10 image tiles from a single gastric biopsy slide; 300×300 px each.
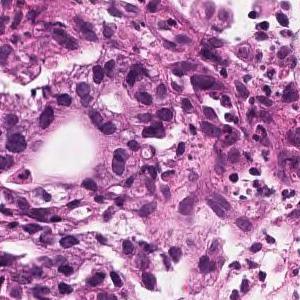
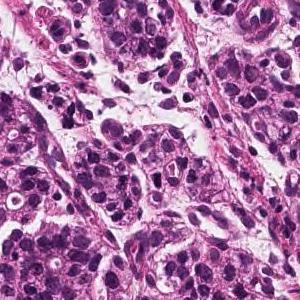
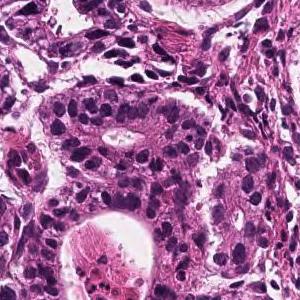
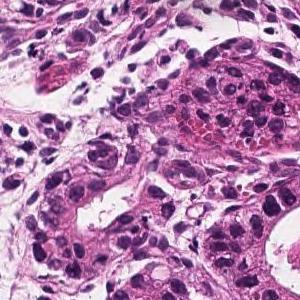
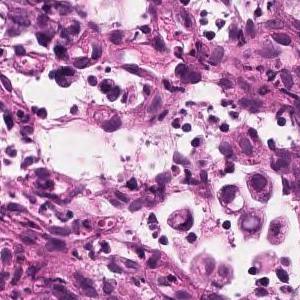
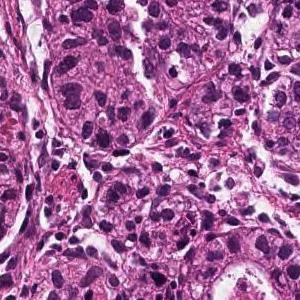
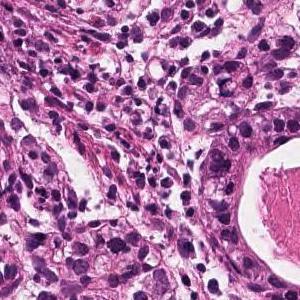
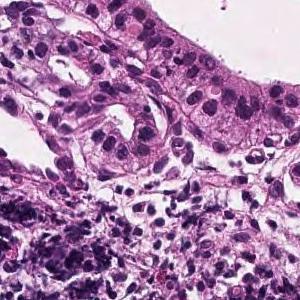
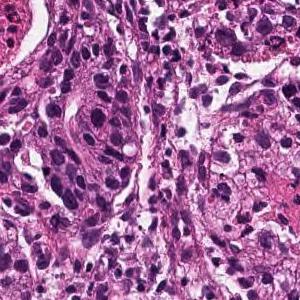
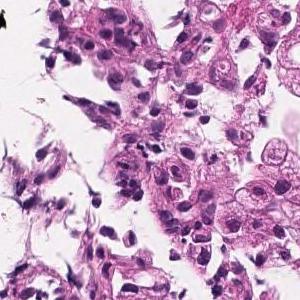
Report on the slide these tiles come from. The report and the diagnosis describe the slide as a whole, so these tiles may not show every feature named and may include non-tumor tissue.
Tumor tissue consisting of medium-sized and irregular ducts is observed infiltrating in the superficial epithelium. Tumor cells are highly columnar, with nuclei aligned basolaterally and polarized. Well differentiated tubular adenocarcinoma.
